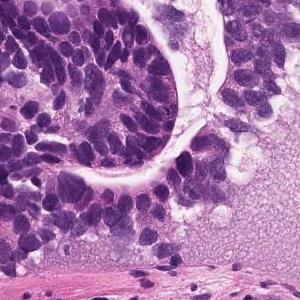
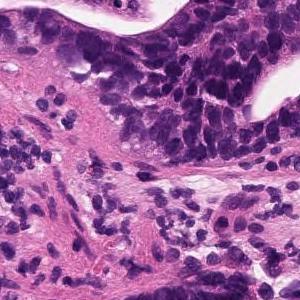
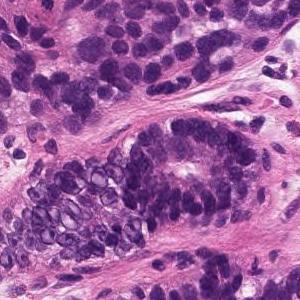
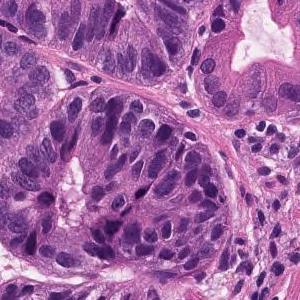
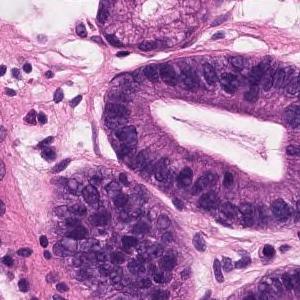
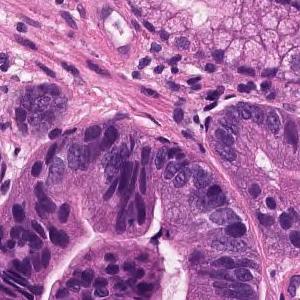
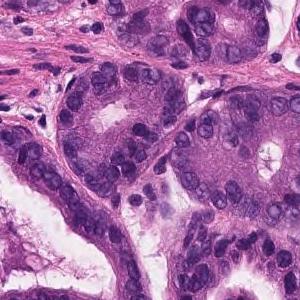
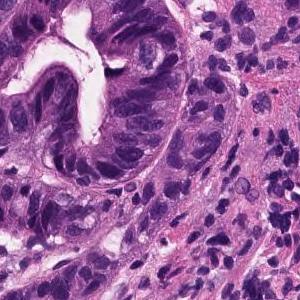
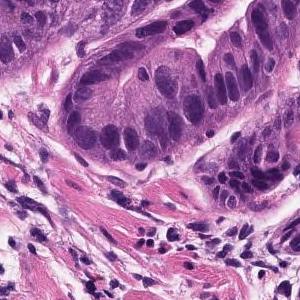
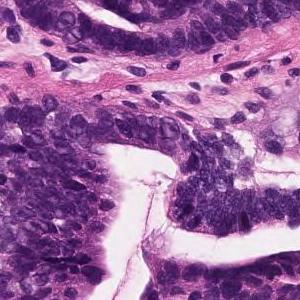
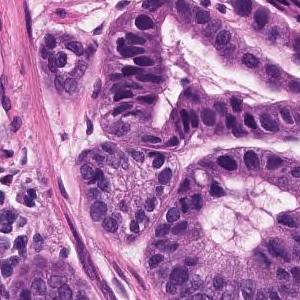
11 patches cut from one gastric biopsy slide · 300×300 px each.
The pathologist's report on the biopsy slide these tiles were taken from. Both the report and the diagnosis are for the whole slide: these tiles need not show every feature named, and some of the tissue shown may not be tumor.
Atypical epithelium with tight nuclei shows irregular or sieving duct construction and proliferates. Well to moderately differentiated tubular adenocarcinoma (well differentiated tubular adenocarcinoma-moderately differentiated tubular adenocarcinoma)
Histologic type: Well to moderately differentiated tubular adenocarcinoma.
